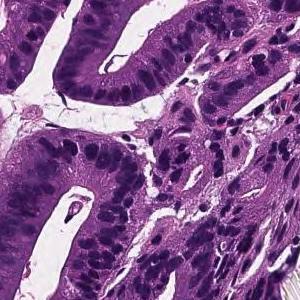
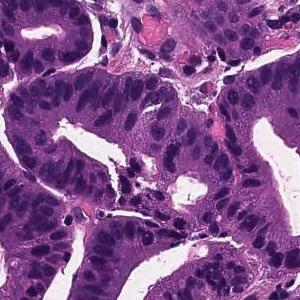
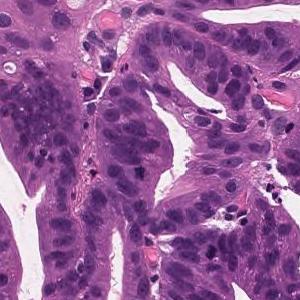
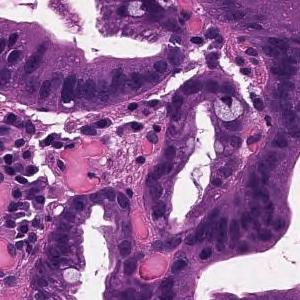
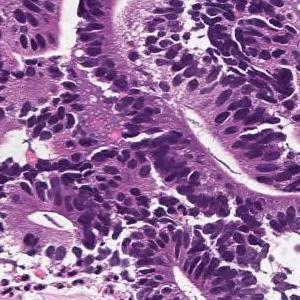
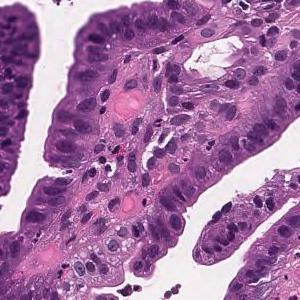
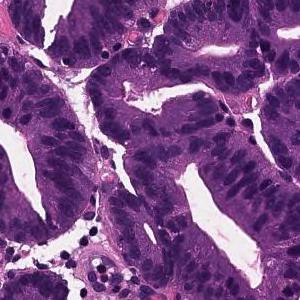
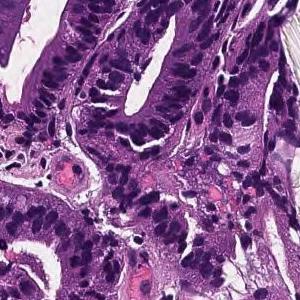
8 patches cut from one gastric biopsy slide; each 300 × 300 pixels; ×20; H&E.
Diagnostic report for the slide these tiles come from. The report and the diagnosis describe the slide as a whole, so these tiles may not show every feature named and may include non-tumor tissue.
Tumor cells are large, highly columnar, large club-shaped nuclei, and are associated with chromatin aggregation. Papillary adenocarcinoma.
